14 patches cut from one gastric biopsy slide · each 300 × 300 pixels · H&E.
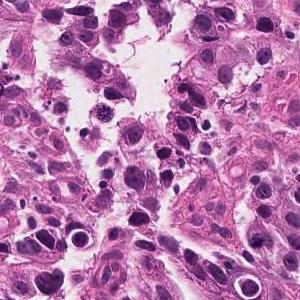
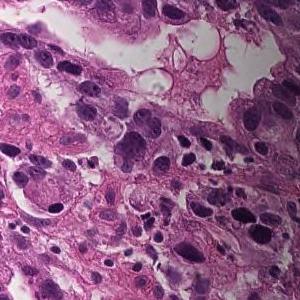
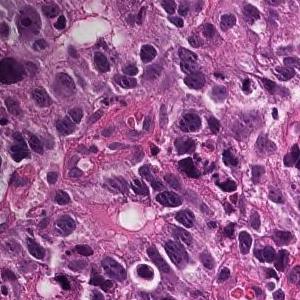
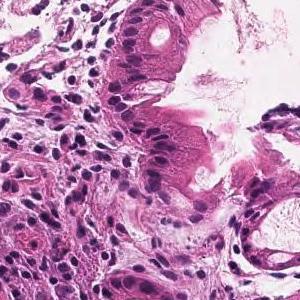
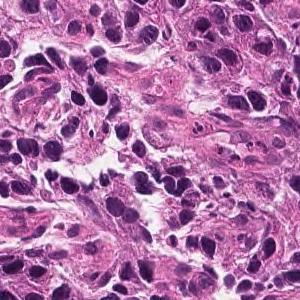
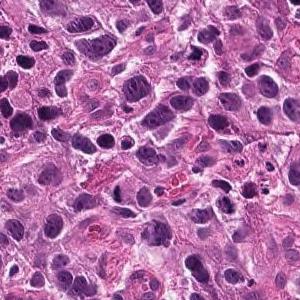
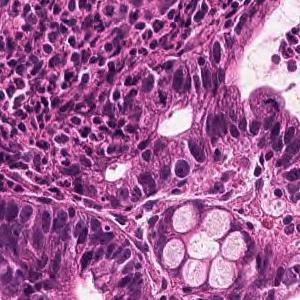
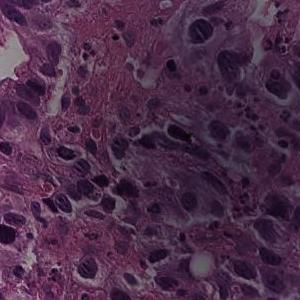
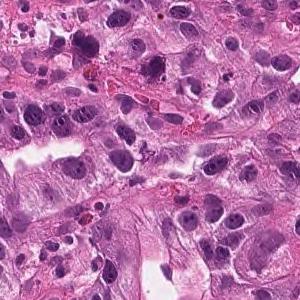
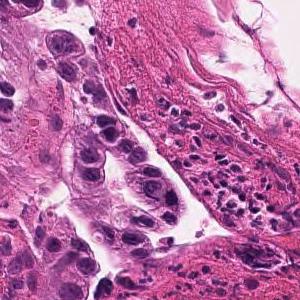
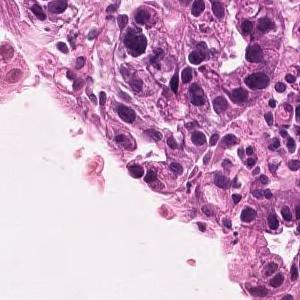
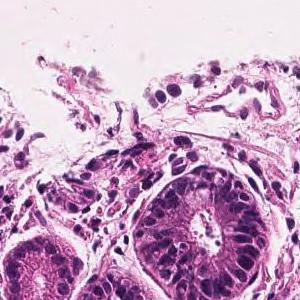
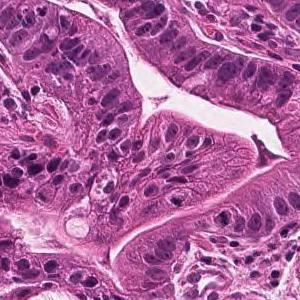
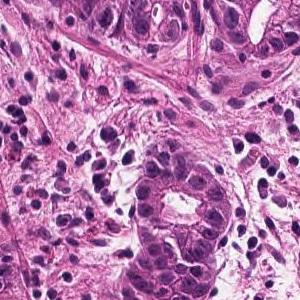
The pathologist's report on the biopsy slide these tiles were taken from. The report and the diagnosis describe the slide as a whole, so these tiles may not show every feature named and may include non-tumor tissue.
Tumor tissue consisting of medium-sized, cord-like or irregular glandular infiltration is observed in the superficial epithelium. Poorly differentiated adenocarcinoma, non-solid type or moderately differentiated tubular adenocarcinoma
Histological subtype: Moderately to poorly differentiated adenocarcinoma.
The term "non-solid type" comes from the Japanese Classification of Gastric Carcinoma.
